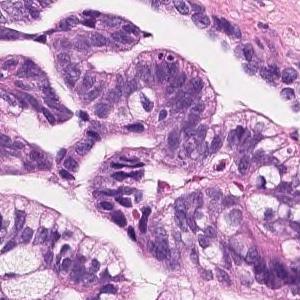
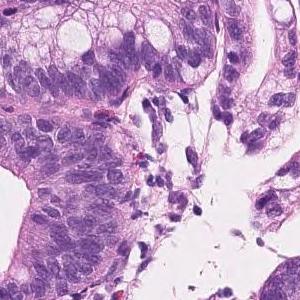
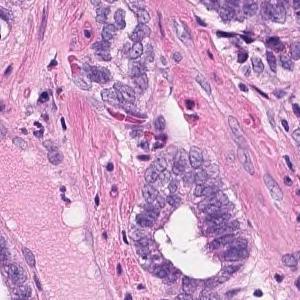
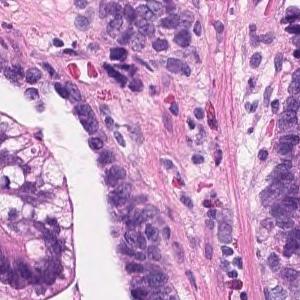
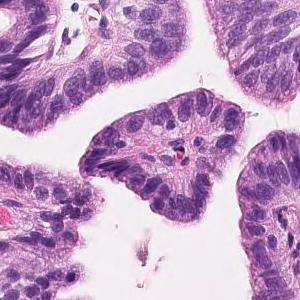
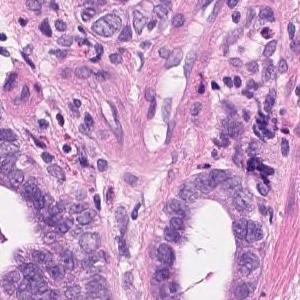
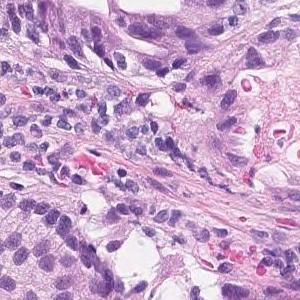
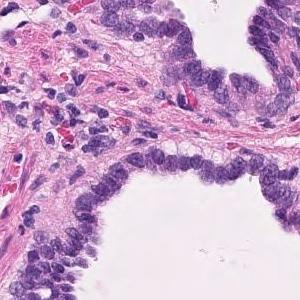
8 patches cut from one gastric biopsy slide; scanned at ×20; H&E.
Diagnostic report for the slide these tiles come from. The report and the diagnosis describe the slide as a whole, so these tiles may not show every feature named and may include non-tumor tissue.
Tumor cells are large, highly columnar, large club-shaped nuclei, and are associated with chromatin aggregation. Papillary adenocarcinoma.
